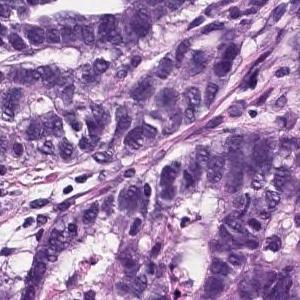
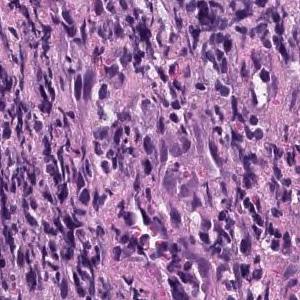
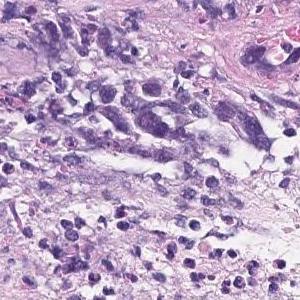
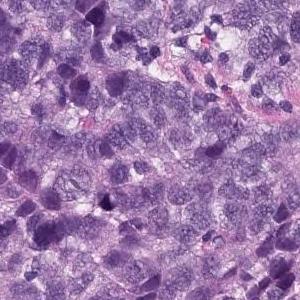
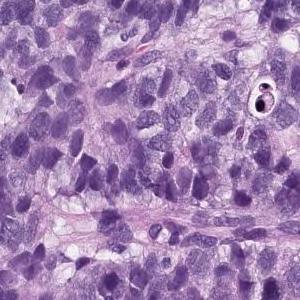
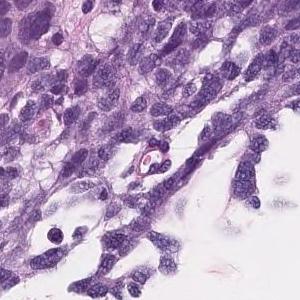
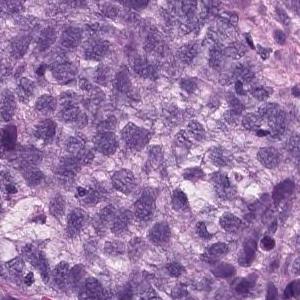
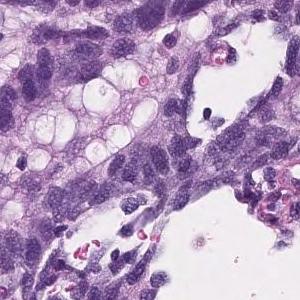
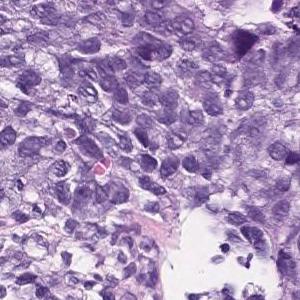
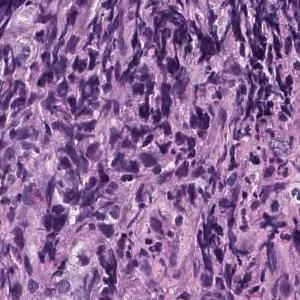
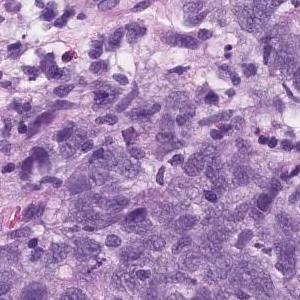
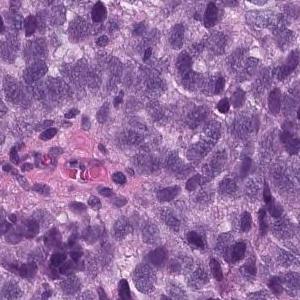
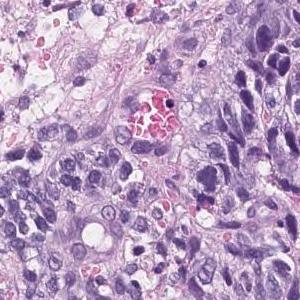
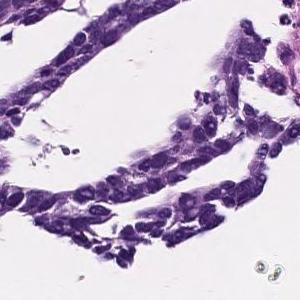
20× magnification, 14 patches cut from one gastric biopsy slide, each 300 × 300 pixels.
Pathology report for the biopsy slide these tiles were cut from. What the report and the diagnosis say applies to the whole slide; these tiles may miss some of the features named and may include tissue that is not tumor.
Epithelial cells with swollen nuclei with atypia invasively proliferating while forming vesicles is observed. Poorly differentiated adenocarcinoma
Histological subtype: Poorly differentiated adenocarcinoma, solid type. This name comes from the Japanese Classification of Gastric Carcinoma; the WHO 2019 classification calls it tubular adenocarcinoma, poorly differentiated.
